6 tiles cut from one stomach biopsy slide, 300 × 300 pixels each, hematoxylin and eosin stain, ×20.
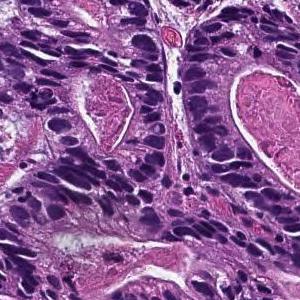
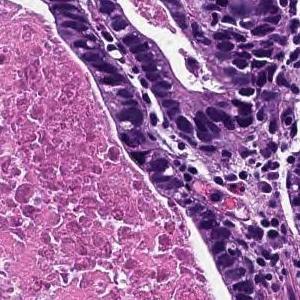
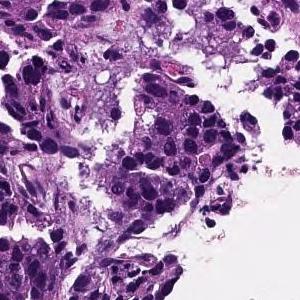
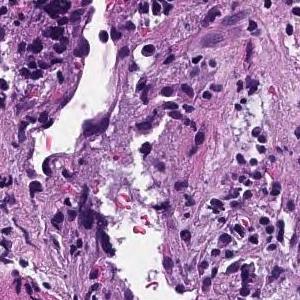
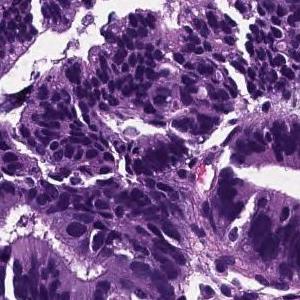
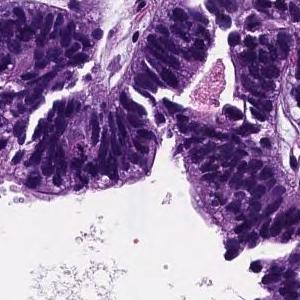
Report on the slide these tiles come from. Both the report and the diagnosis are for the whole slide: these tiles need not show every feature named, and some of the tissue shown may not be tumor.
From the superficial epithelium to the muscularis mucosae, tumor tissue consisting of medium-sized and irregular glandular ducts infiltrating is observed. Well differentiated tubular adenocarcinoma
